10 patches cut from one gastric biopsy slide · 300 × 300 pixels each · H&E.
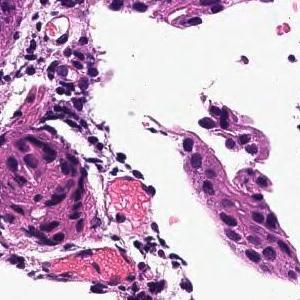
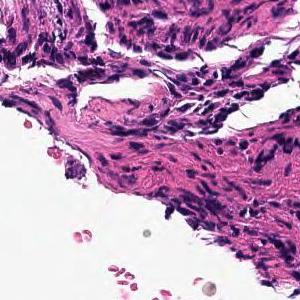
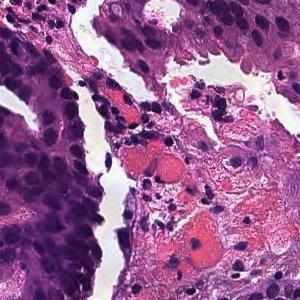
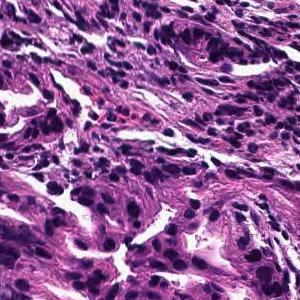
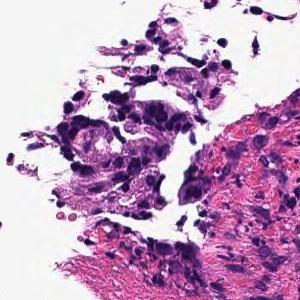
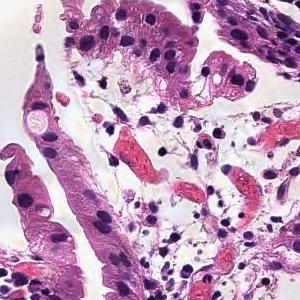
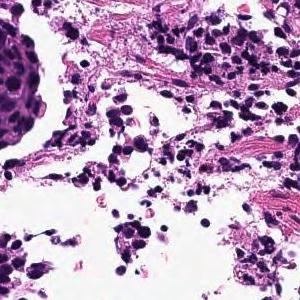
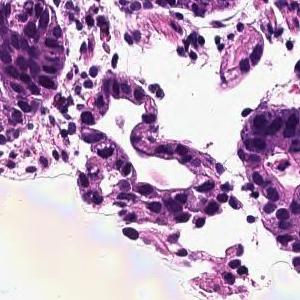
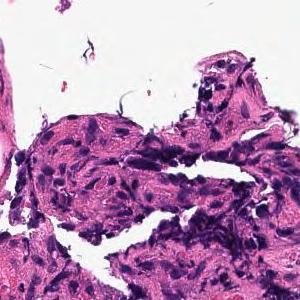
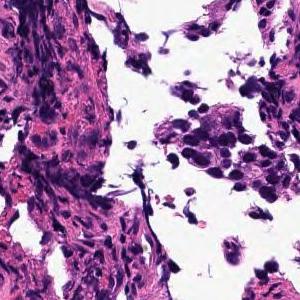
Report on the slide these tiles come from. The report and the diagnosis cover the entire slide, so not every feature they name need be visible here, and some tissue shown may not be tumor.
In the superficial epithelium, tumor tissue that invades by forming medium-sized to small, irregular ducts is observed. moderately differentiated tubular adenocarcinoma.
